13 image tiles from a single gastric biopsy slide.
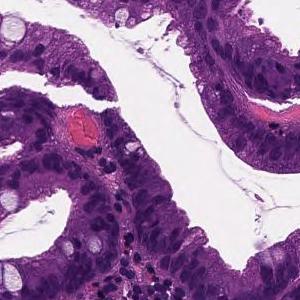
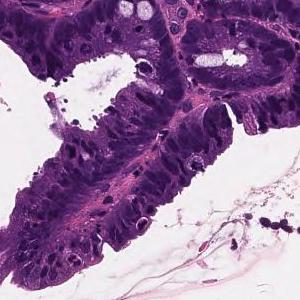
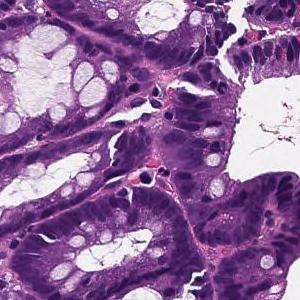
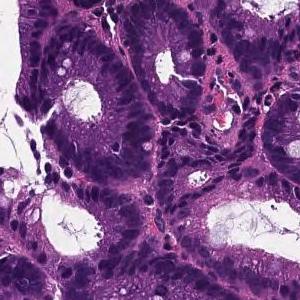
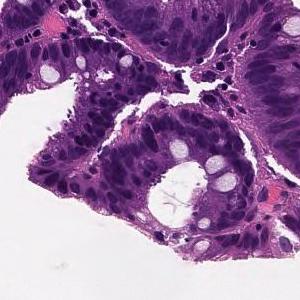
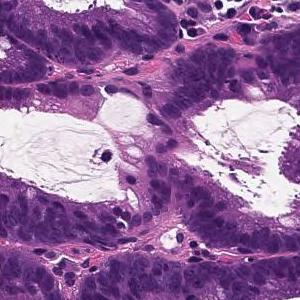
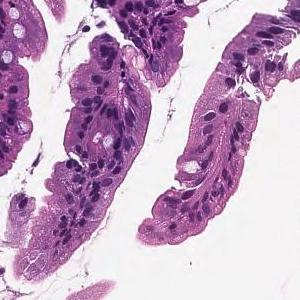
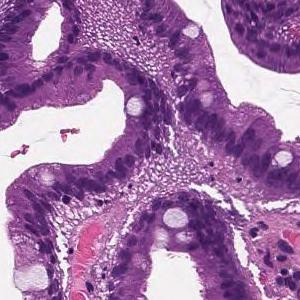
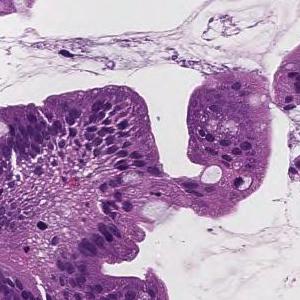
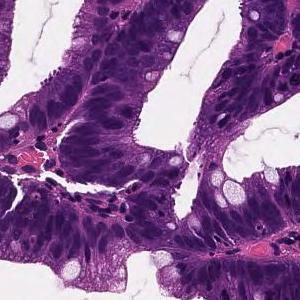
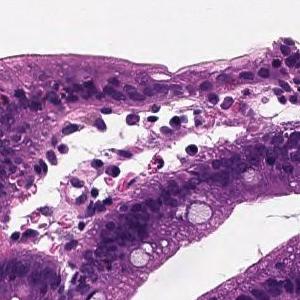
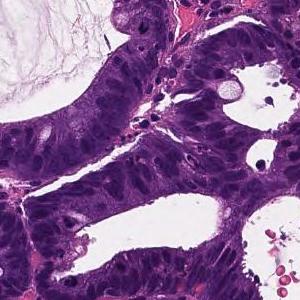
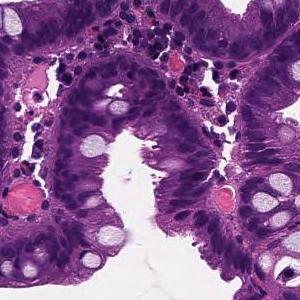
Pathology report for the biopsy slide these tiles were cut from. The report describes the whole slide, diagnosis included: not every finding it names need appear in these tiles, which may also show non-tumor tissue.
moderately differentiated tubular adenocarcinoma infiltrates in the submucosa massively.
Histologic type: Moderately differentiated tubular adenocarcinoma.
